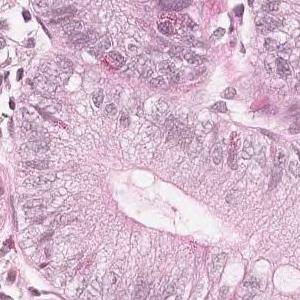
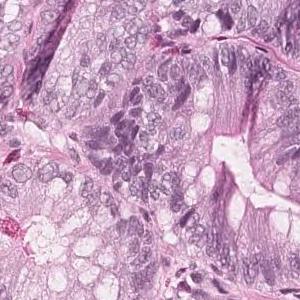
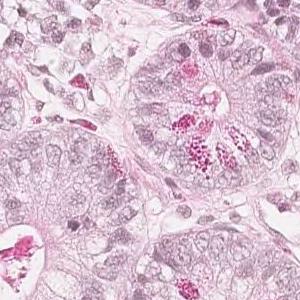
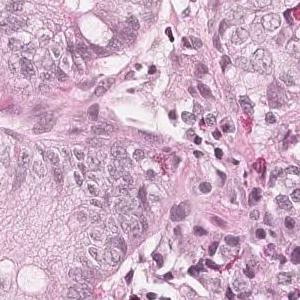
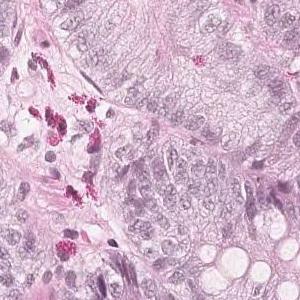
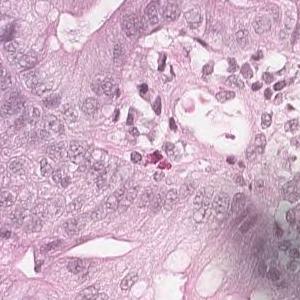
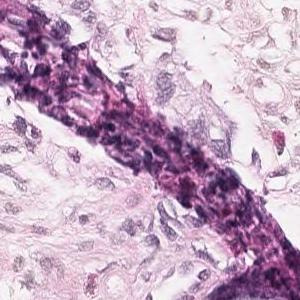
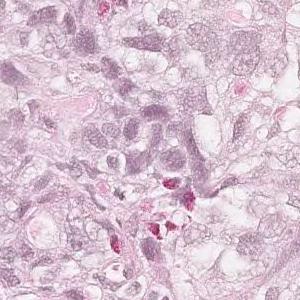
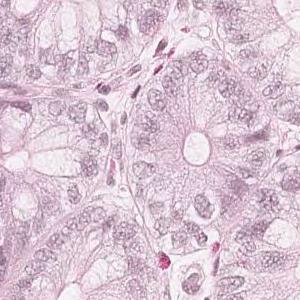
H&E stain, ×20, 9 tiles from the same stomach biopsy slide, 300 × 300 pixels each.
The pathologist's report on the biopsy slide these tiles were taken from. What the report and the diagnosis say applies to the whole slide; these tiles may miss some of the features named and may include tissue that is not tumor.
Medium to small, irregular glandular ducts are formed in the superficial epithelium, and in some cases, the glandular ducts are fused to show solid alveolar lesions and infiltrating tumor tissue is observed. Moderately to poorly differentiated adenocarcinoma.
